Scanned at ×20 · H&E stain · 16 image tiles from a single gastric biopsy slide.
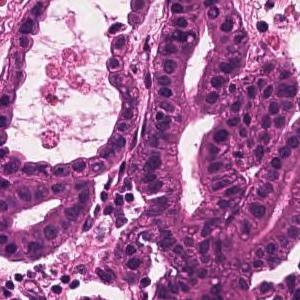
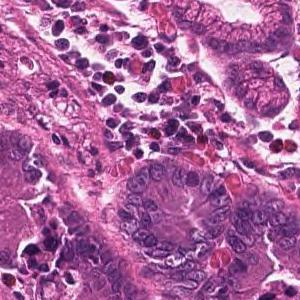
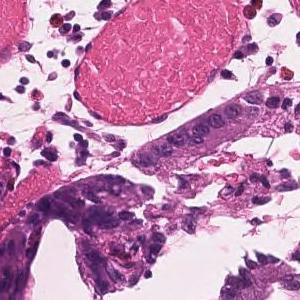
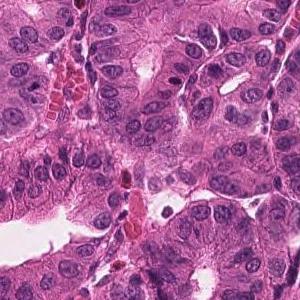
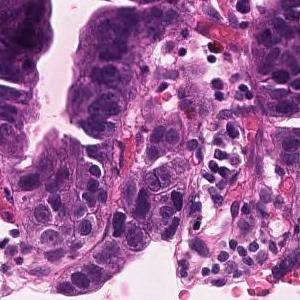
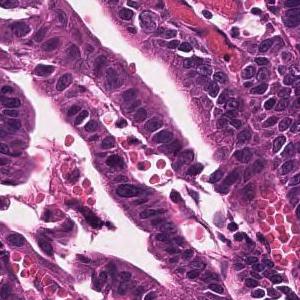
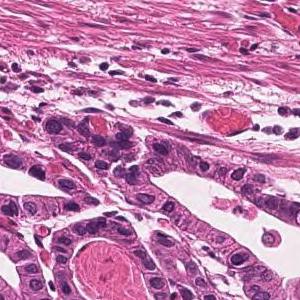
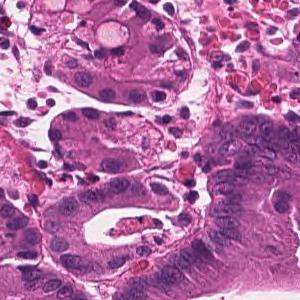
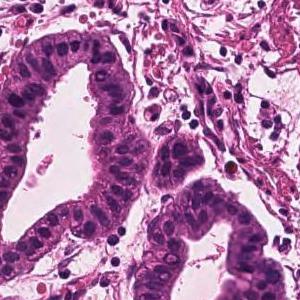
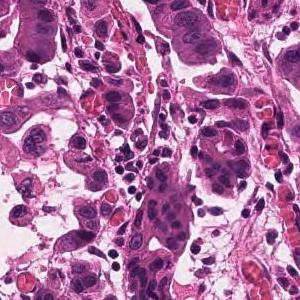
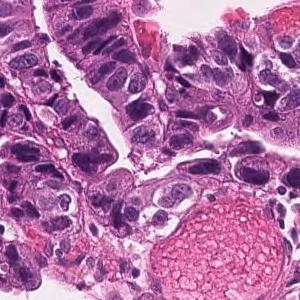
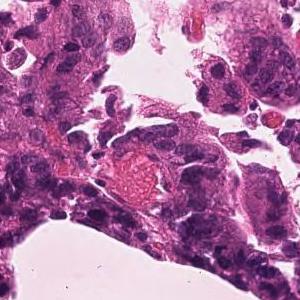
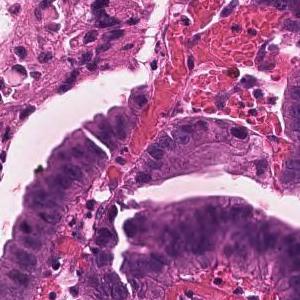
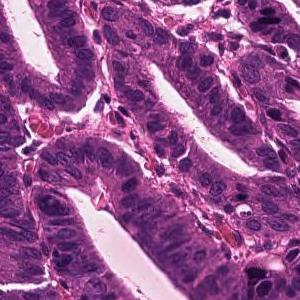
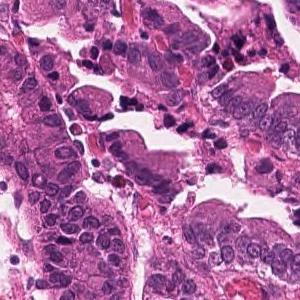
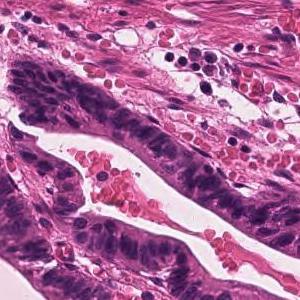
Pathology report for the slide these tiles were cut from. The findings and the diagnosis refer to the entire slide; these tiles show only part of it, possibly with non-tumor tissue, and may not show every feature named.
Infiltrating tumor tissue with medium-sized, irregular ductal structure or large papillary appearance is observed. Well differentiated tubular adenocarcinoma
